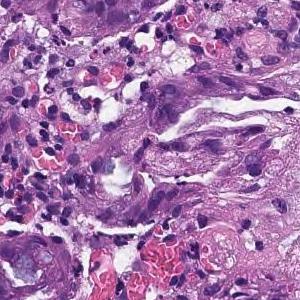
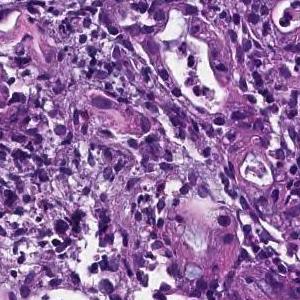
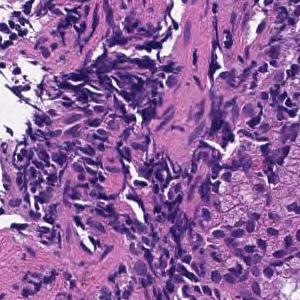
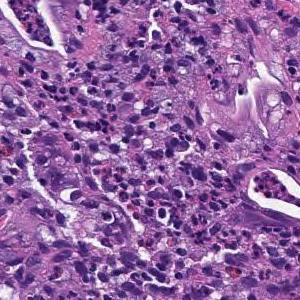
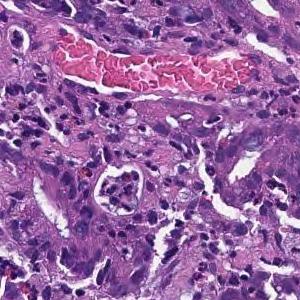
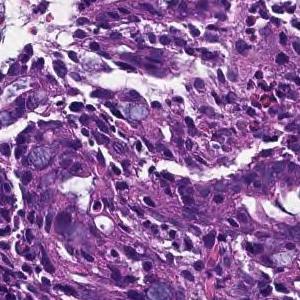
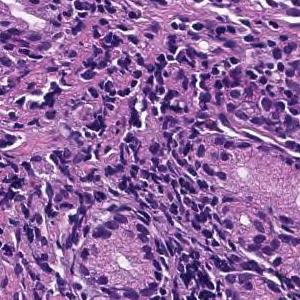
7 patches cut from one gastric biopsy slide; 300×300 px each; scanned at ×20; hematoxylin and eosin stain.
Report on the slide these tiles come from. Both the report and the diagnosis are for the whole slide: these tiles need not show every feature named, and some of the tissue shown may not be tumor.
In the superficial epithelium, tumor tissue that invades by forming medium-sized to small, irregular ducts is observed. moderately differentiated tubular adenocarcinoma.
